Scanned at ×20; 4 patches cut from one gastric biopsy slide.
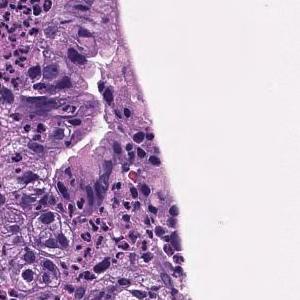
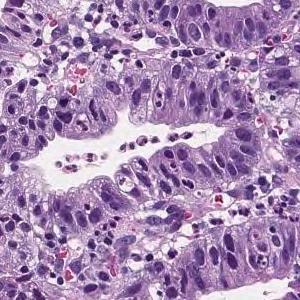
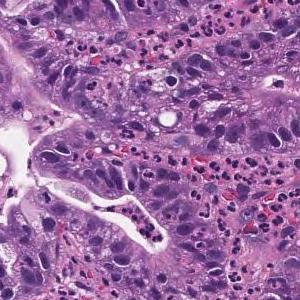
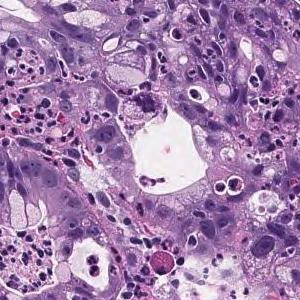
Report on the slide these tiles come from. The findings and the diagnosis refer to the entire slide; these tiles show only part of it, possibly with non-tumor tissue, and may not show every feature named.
In the superficial epithelium, tumor tissue that invades by forming medium-sized to small, irregular ducts is observed. Well differentiated tubular adenocarcinoma.
